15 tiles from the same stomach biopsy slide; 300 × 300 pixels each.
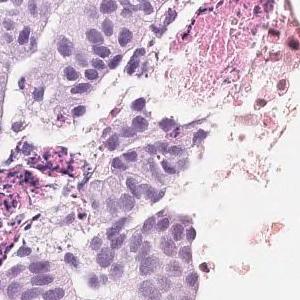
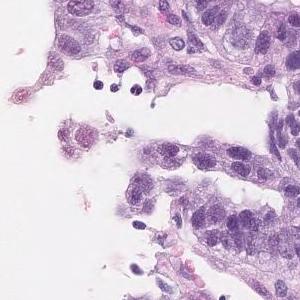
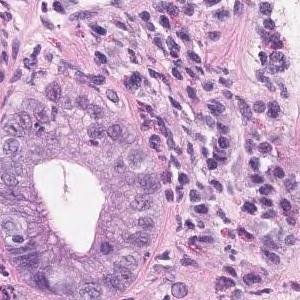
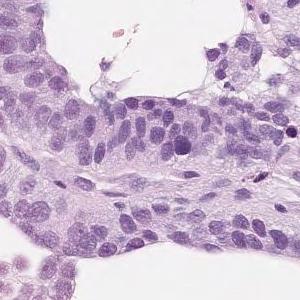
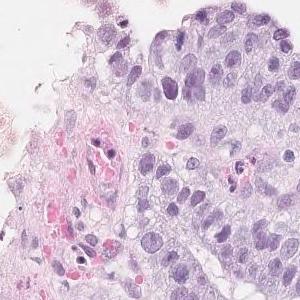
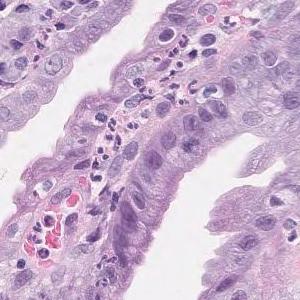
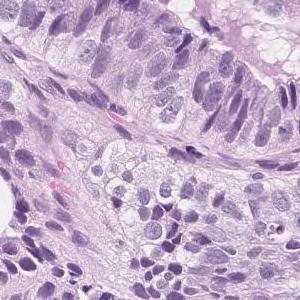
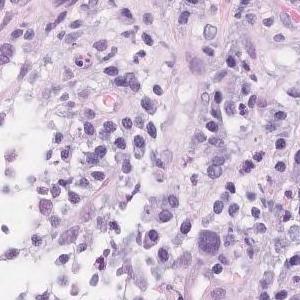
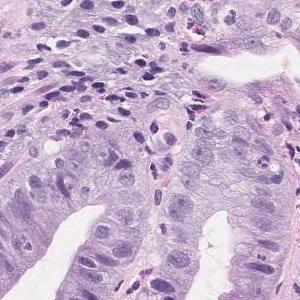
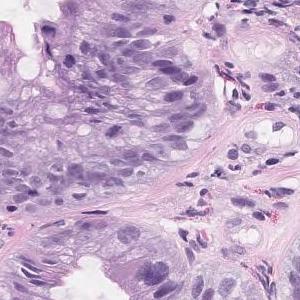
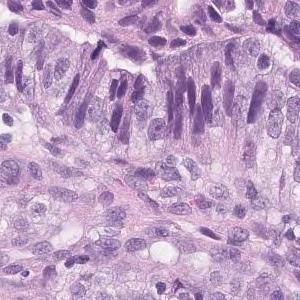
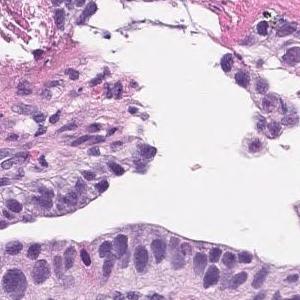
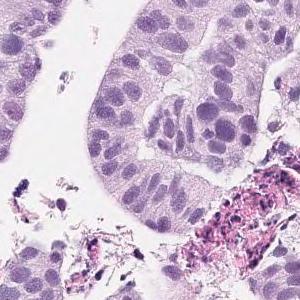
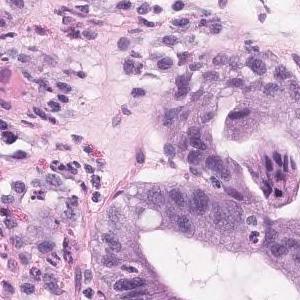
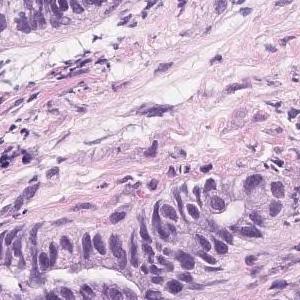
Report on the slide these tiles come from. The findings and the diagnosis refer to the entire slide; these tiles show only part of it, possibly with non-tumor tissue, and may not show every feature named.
Tumor tissue in which highly columnar atypical epithelial cells with nuclear enlargement and increased nuclear chromatin show papillary to papillary ductal structure and proliferate is observed. Papillary adenocarcinoma.
